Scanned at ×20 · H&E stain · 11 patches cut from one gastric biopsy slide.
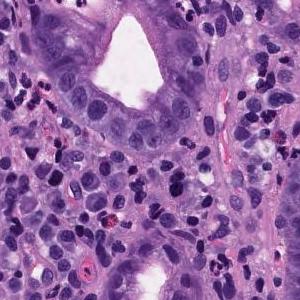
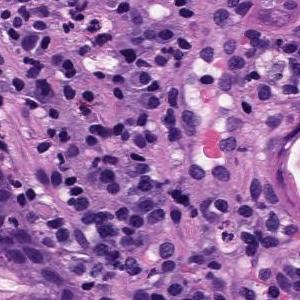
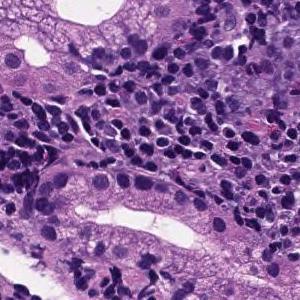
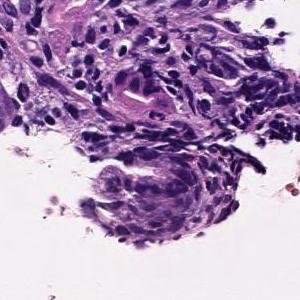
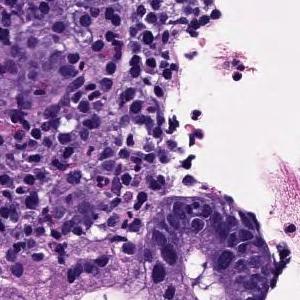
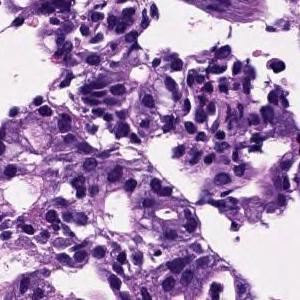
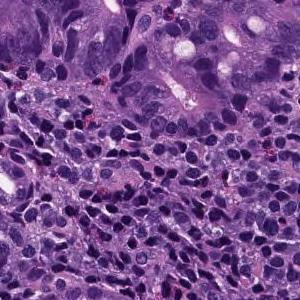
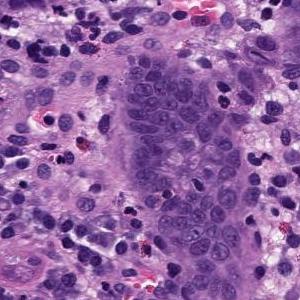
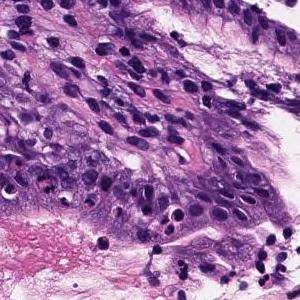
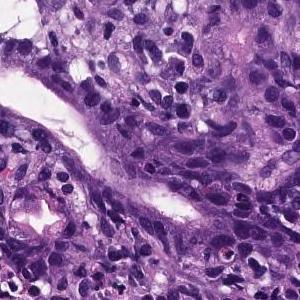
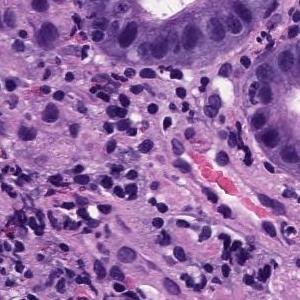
Diagnostic report for the slide these tiles come from. The report and the diagnosis describe the slide as a whole, so these tiles may not show every feature named and may include non-tumor tissue.
Medium to small, irregular glandular ducts are formed in the superficial epithelium, and in some cases, the glandular ducts are fused to show solid alveolar lesions and infiltrating tumor tissue is observed. Moderately to poorly differentiated adenocarcinoma.
